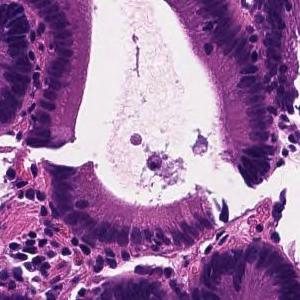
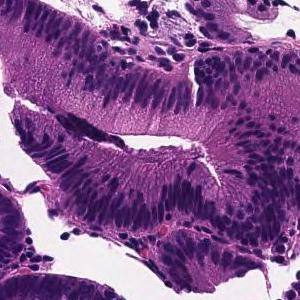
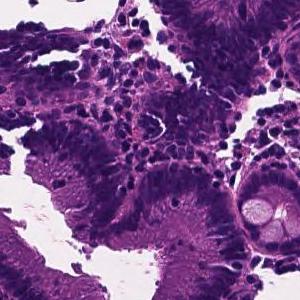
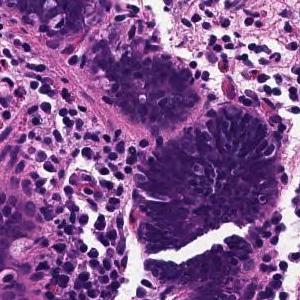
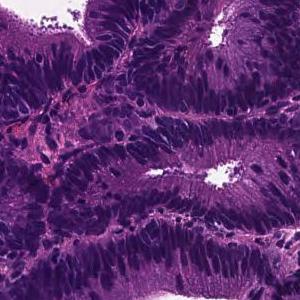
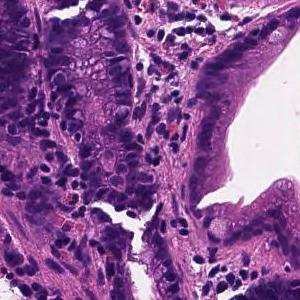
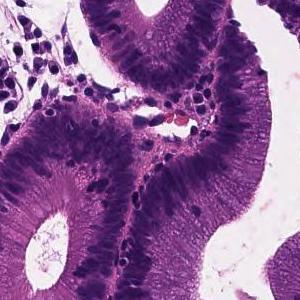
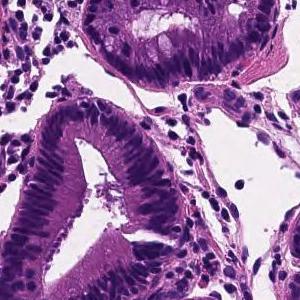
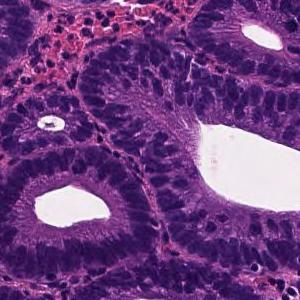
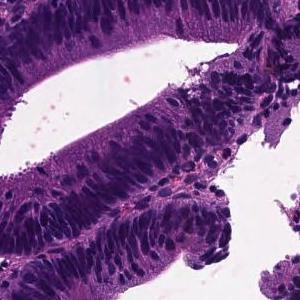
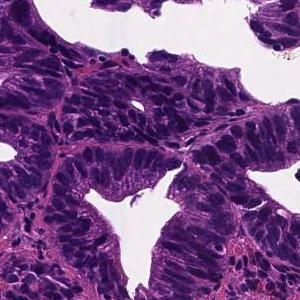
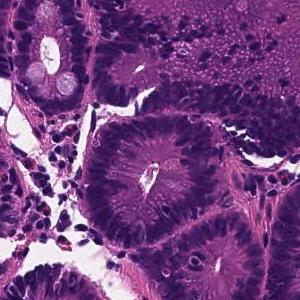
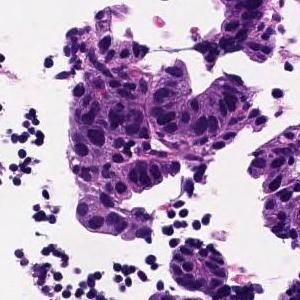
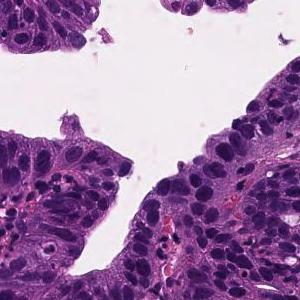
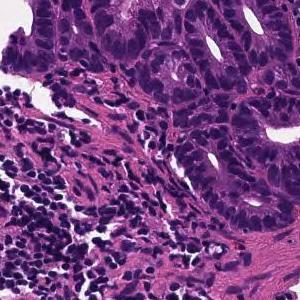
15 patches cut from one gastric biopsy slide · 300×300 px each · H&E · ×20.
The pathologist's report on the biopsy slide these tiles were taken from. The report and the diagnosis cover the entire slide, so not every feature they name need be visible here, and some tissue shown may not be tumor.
Tumor tissue in which medium to small irregular ducts infiltrate and proliferate in the submucosa can be seen in the epithelium. Well differentiated tubular adenocarcinoma
